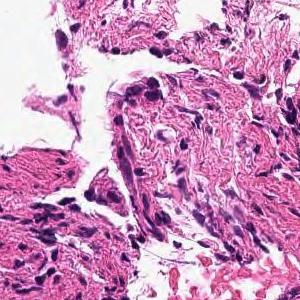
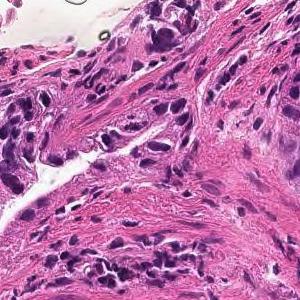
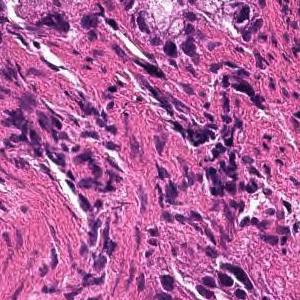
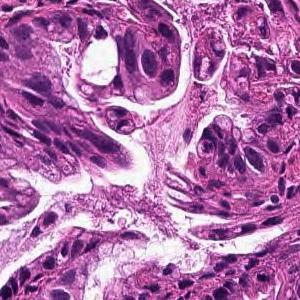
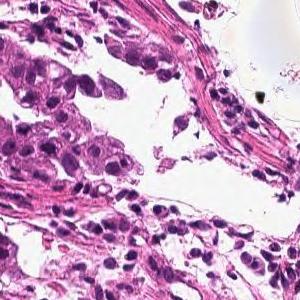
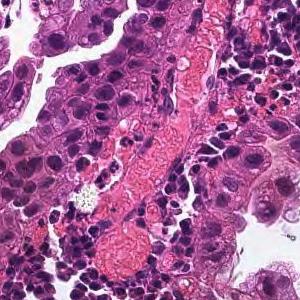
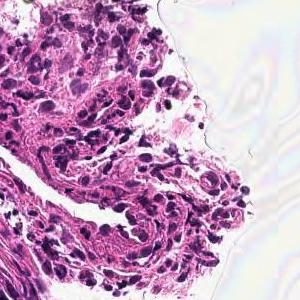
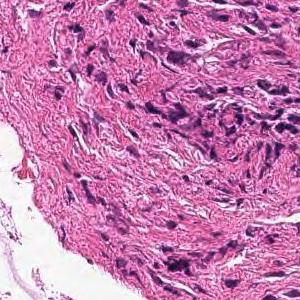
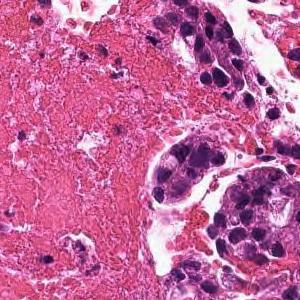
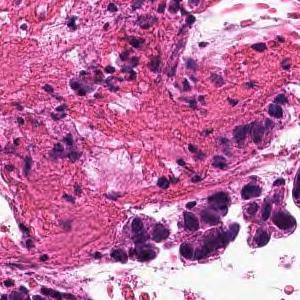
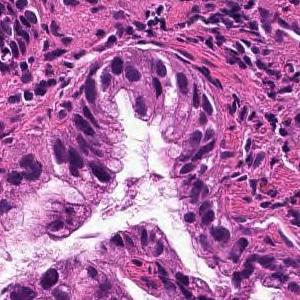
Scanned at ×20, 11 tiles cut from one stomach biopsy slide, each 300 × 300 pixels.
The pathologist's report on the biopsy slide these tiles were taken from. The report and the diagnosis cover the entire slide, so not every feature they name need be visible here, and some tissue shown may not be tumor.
From the superficial epithelium to the muscularis mucosae, tumor tissue infiltrating by forming medium-sized irregular gland ducts is observed. Well differentiated tubular adenocarcinoma
